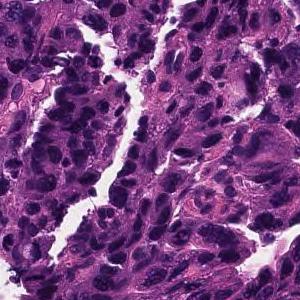
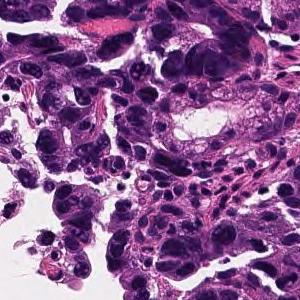
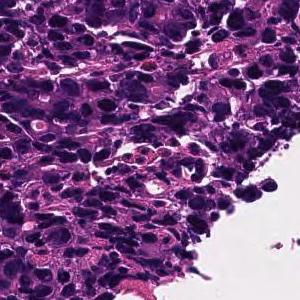
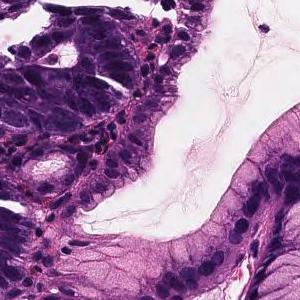
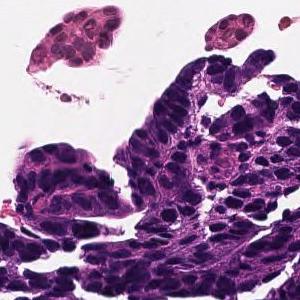
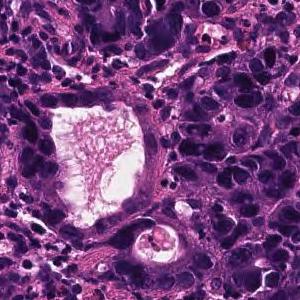
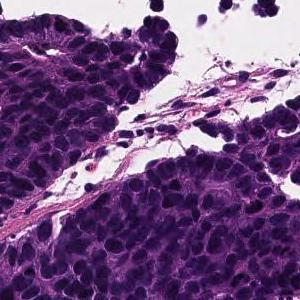
20× magnification; 7 image tiles from a single gastric biopsy slide; 300×300 px each.
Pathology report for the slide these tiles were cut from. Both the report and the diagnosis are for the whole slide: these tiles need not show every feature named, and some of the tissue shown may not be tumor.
In the superficial epithelium, tumor tissue that invades by forming medium-sized to small, irregular ducts is observed. moderately differentiated tubular adenocarcinoma.
